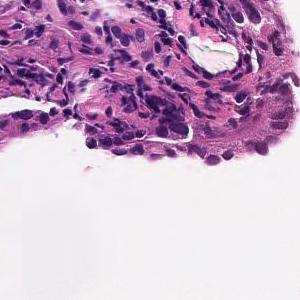
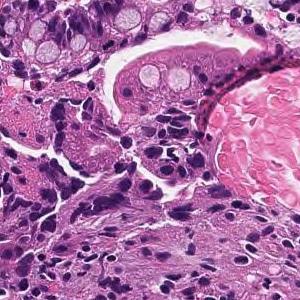
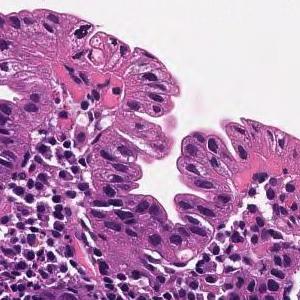
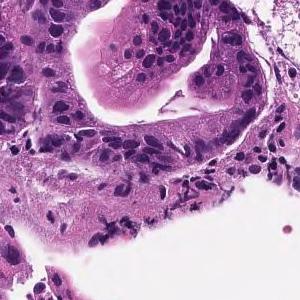
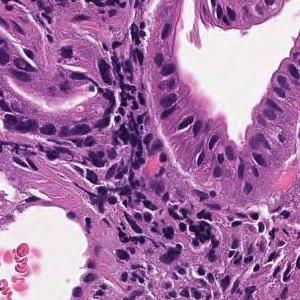
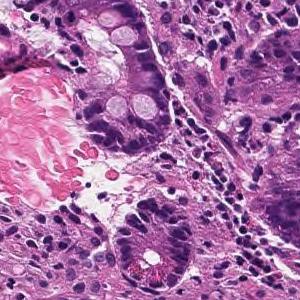
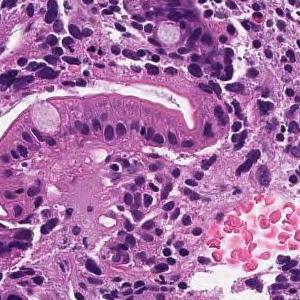
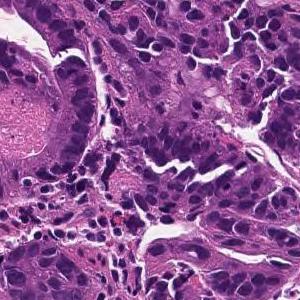
Scanned at ×20, H&E stain, 8 image tiles from a single gastric biopsy slide, 300 × 300 pixels each.
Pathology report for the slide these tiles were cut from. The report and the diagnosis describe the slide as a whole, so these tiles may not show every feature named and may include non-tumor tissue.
From the superficial epithelium to the muscularis mucosae, tumor tissue consisting of medium-sized and irregular glandular ducts infiltrating is observed. Well differentiated tubular adenocarcinoma
